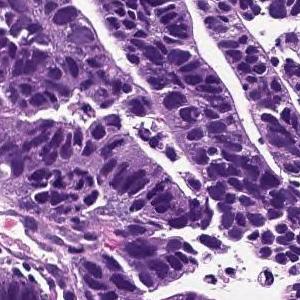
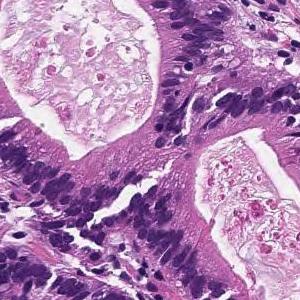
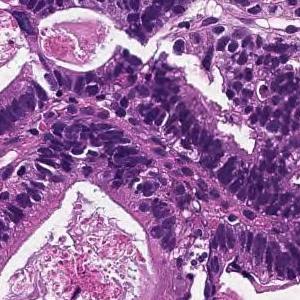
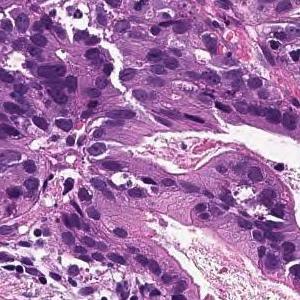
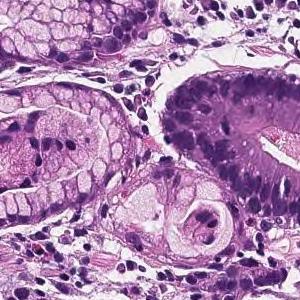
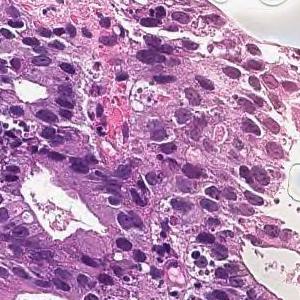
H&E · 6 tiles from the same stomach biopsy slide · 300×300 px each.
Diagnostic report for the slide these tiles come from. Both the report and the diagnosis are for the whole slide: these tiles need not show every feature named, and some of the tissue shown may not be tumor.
In the superficial epithelium, tumor tissue that invades by forming medium-sized to small, irregular ducts is observed. moderately differentiated tubular adenocarcinoma.
